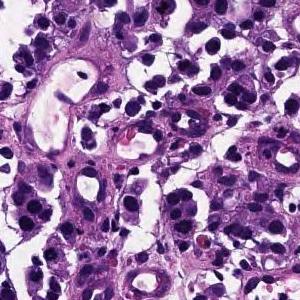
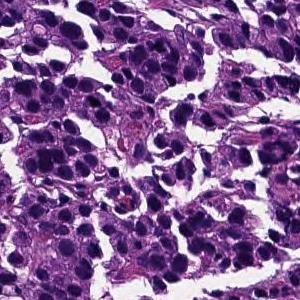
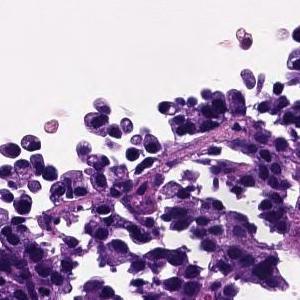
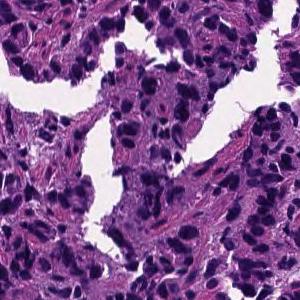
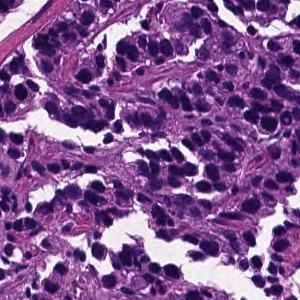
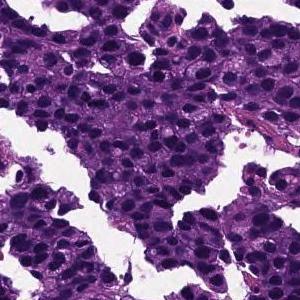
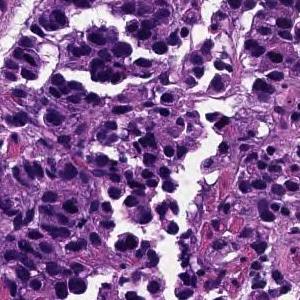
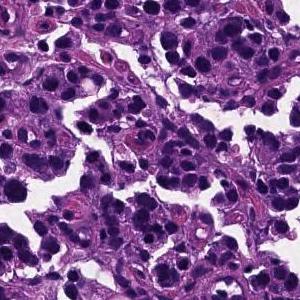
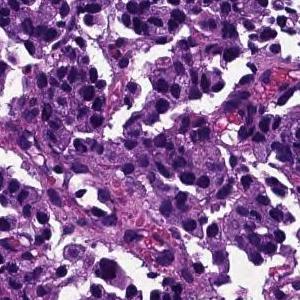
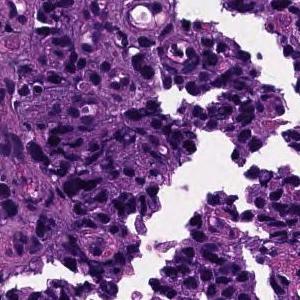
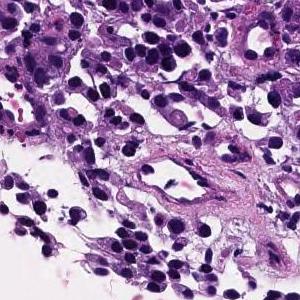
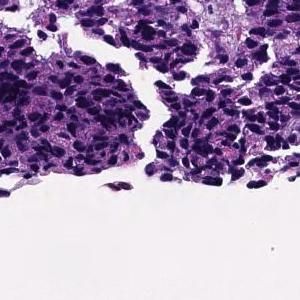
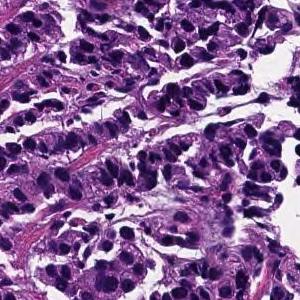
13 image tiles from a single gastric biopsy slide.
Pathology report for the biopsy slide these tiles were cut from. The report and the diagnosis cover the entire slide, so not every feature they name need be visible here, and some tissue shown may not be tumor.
The superficial epithelium shows a large alveolar shape and infiltrates tumor tissue. Poorly differentiated adenocarcinoma, solid-type
Histologic type: Poorly differentiated adenocarcinoma, solid type. This name comes from the Japanese Classification of Gastric Carcinoma; the WHO 2019 classification calls it tubular adenocarcinoma, poorly differentiated.
